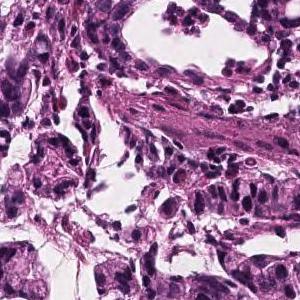
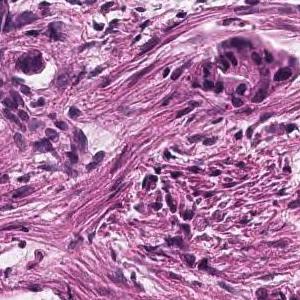
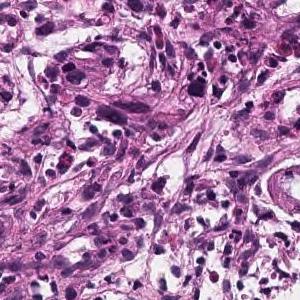
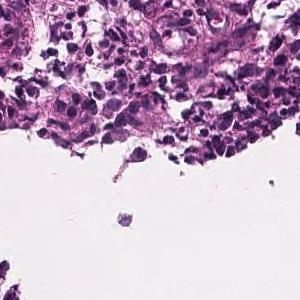
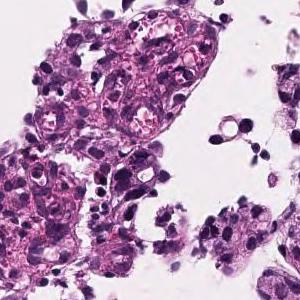
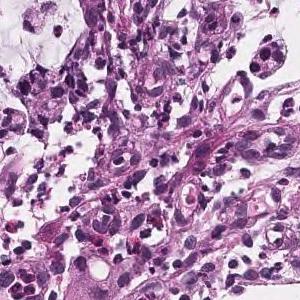
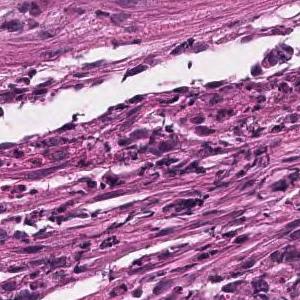
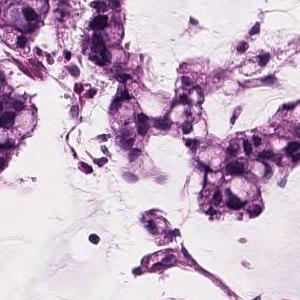
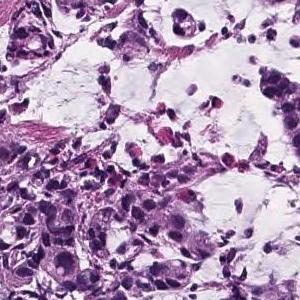
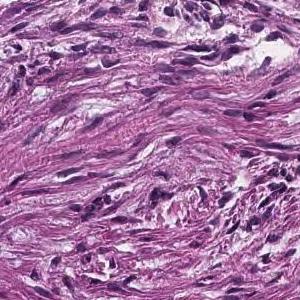
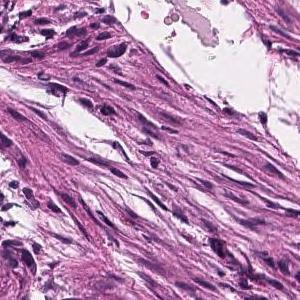
H&E, ×20, 11 patches cut from one gastric biopsy slide, each 300 × 300 pixels.
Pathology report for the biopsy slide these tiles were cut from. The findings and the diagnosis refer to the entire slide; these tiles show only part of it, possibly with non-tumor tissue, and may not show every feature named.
Atypical epithelial cells form obscure ductal structures or small solid follicles, and tumor tissue that proliferates invasively with proliferation of inflammatory granulation tissue is observed. Mucinous adenocarcinoma .
